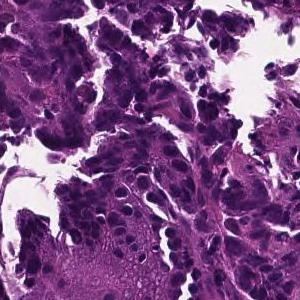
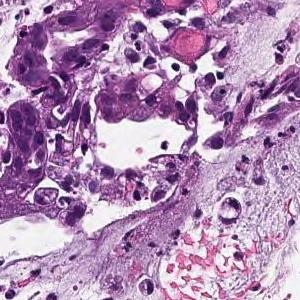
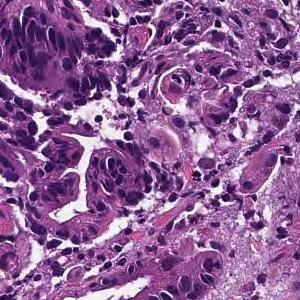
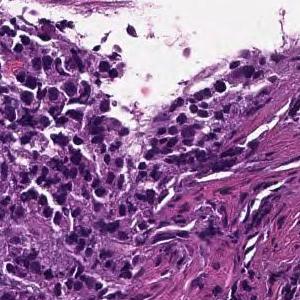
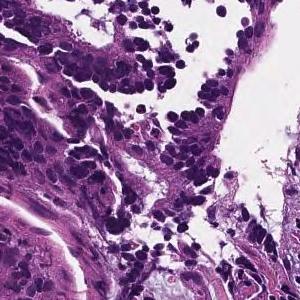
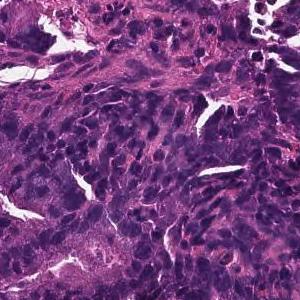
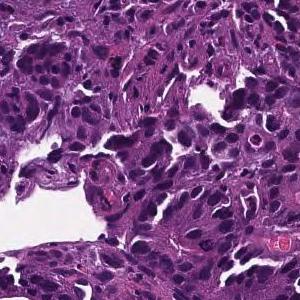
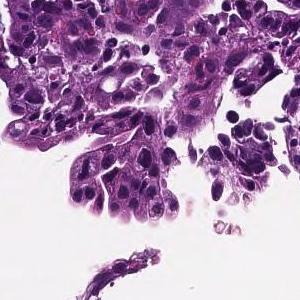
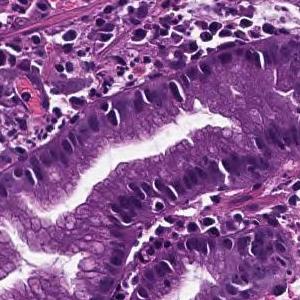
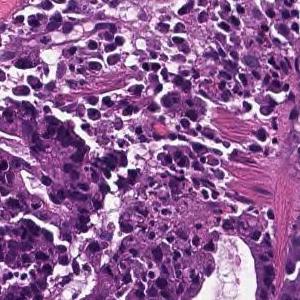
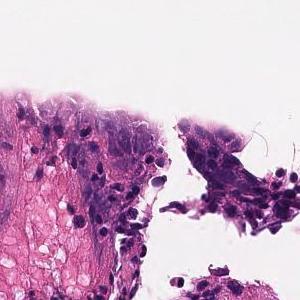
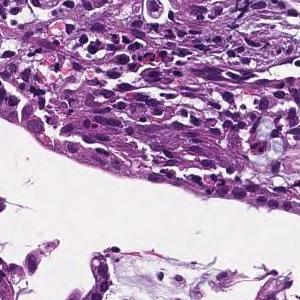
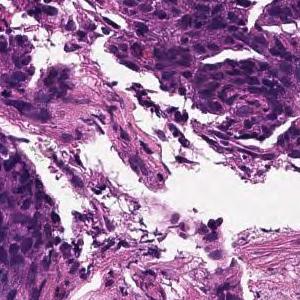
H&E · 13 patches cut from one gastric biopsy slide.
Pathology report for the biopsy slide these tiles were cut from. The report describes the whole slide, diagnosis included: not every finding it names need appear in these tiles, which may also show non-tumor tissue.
On the superficial epithelium, tumor tissue consisting of large irregular glandular ducts partially fused and infiltrated is observed. Well to moderately differentiated tubular adenocarcinoma (well differentiated tubular adenocarcinoma, moderately differentiated tubular adenocarcinoma)
Histological subtype: Well to moderately differentiated tubular adenocarcinoma.
